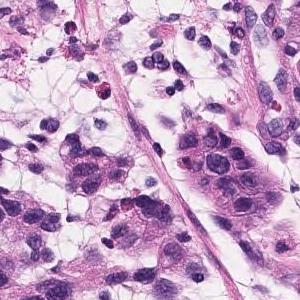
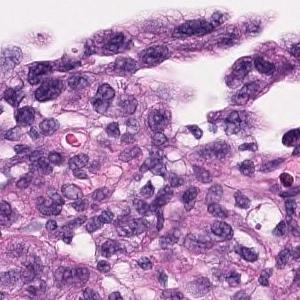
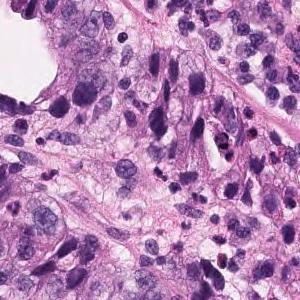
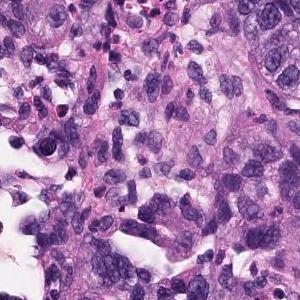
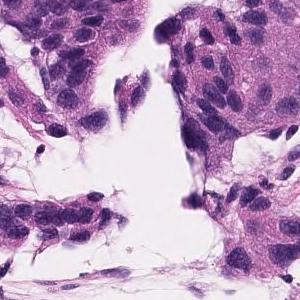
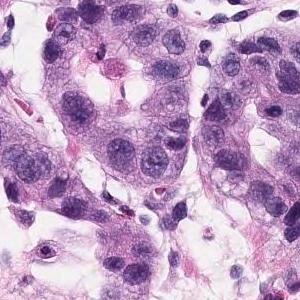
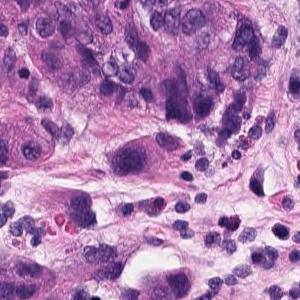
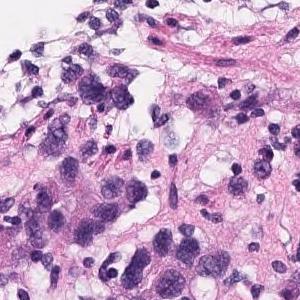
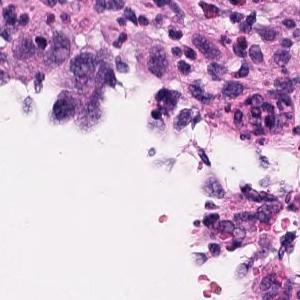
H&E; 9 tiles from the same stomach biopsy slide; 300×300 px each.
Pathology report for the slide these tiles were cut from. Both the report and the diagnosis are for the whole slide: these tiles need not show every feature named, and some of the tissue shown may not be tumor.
Atypical l cells with atypical nuclei forming diffuse or small irregular atypical ducts and growing. Moderately to poorly differentiated adenocarcinoma (poorly differentiated adenocarcinoma, solid type, moderately differentiated tubular adenocarcinoma)
Tumor subtype: moderately to poorly differentiated adenocarcinoma.
The solid type named here is a Japanese Classification of Gastric Carcinoma category; WHO 2019 calls it tubular adenocarcinoma, poorly differentiated.
